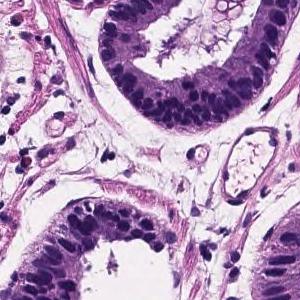
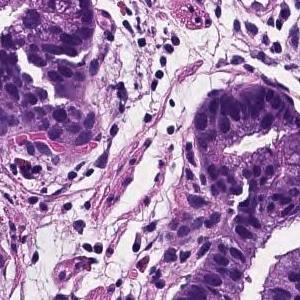
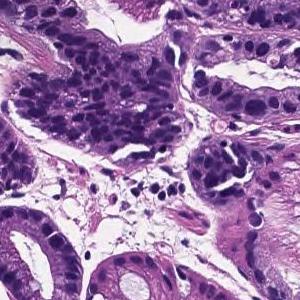
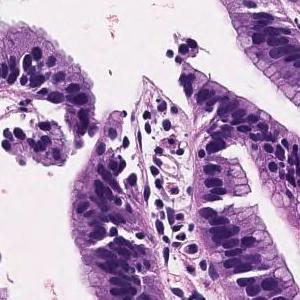
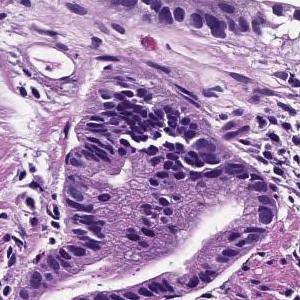
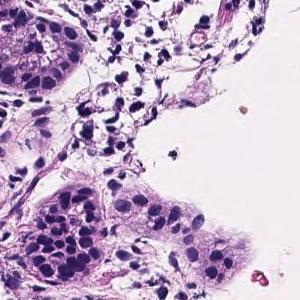
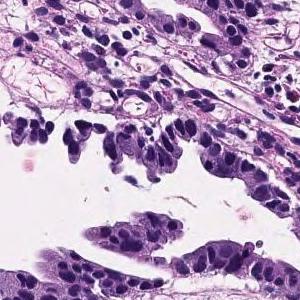
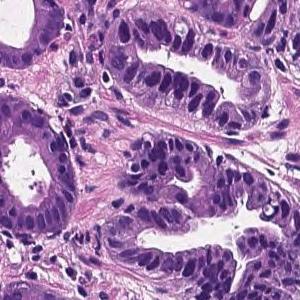
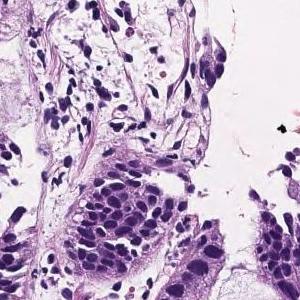
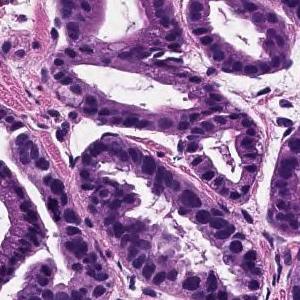
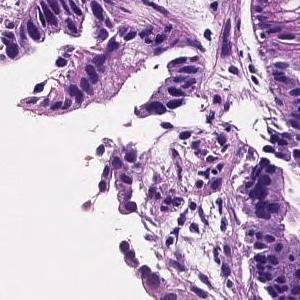
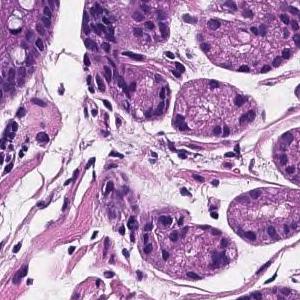
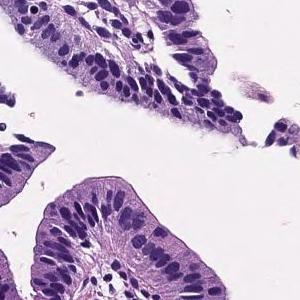
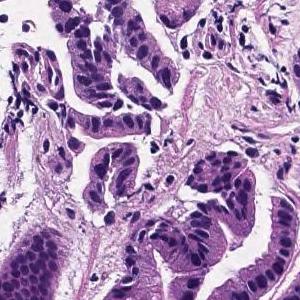
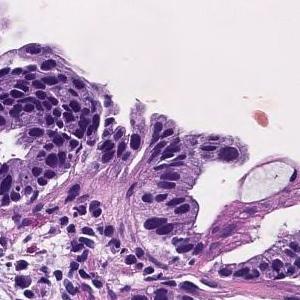
15 tiles cut from one stomach biopsy slide · each 300 × 300 pixels · ×20 · H&E.
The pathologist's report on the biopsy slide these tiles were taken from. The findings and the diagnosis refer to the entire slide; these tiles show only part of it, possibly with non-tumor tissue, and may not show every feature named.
Tumor cells are large, highly columnar, large club-shaped nuclei, and are associated with chromatin aggregation. Papillary adenocarcinoma.
